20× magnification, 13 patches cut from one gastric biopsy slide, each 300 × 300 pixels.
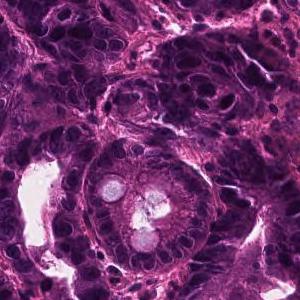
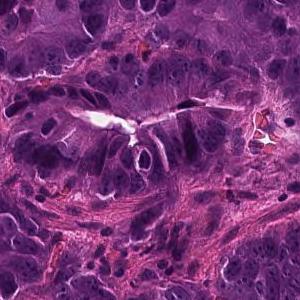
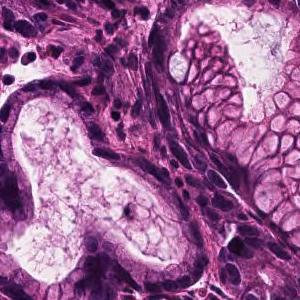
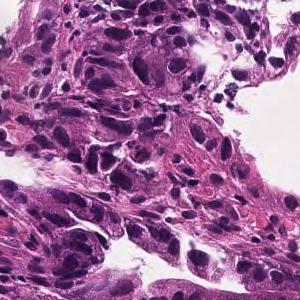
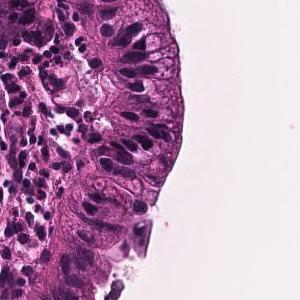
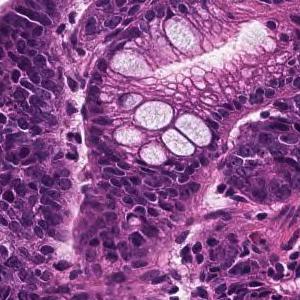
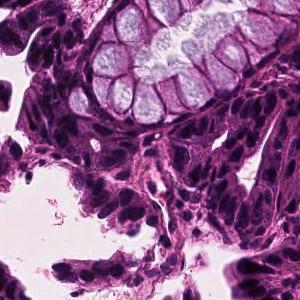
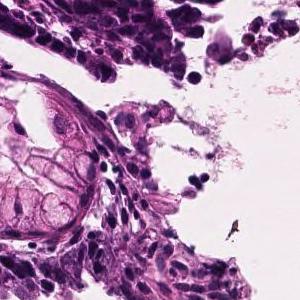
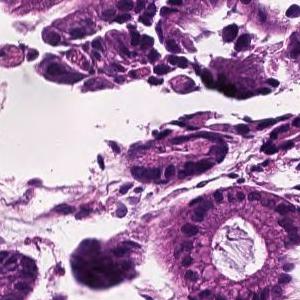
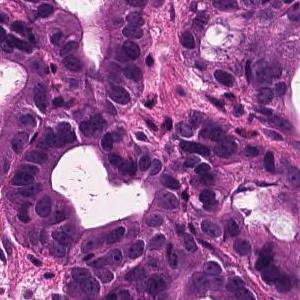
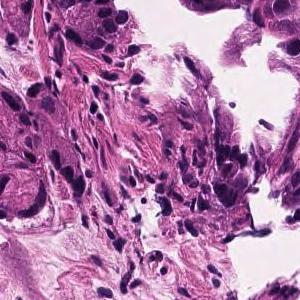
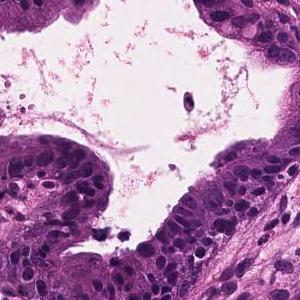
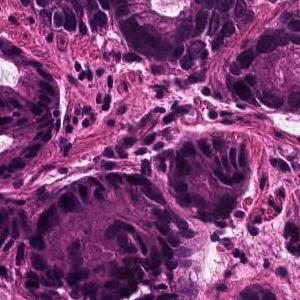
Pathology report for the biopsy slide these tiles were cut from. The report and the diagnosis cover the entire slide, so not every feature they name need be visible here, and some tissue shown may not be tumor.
In the superficial epithelium, tumor tissue that invades by forming medium-sized to small, irregular ducts is observed. Well differentiated tubular adenocarcinoma.
